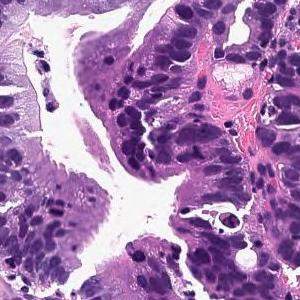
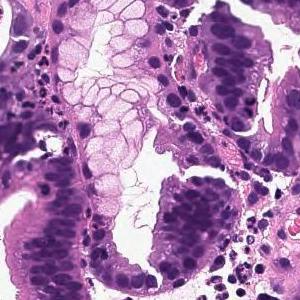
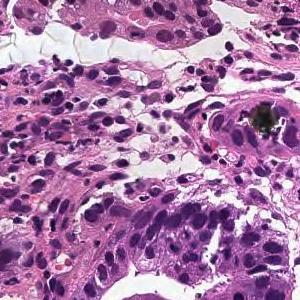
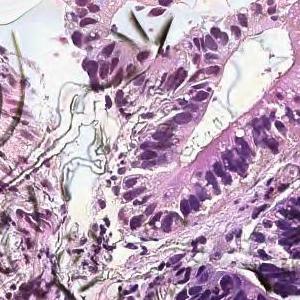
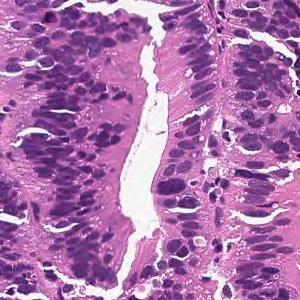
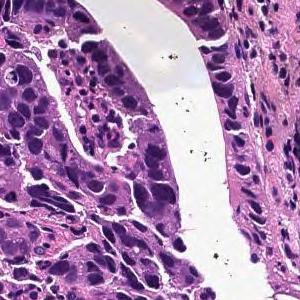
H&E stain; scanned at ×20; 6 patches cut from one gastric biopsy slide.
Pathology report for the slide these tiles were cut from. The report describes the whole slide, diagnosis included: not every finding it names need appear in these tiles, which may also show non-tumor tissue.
On the superficial epithelium, tumor tissue consisting of large irregular glandular ducts partially fused and infiltrated is observed. Well to moderately differentiated tubular adenocarcinoma (well differentiated tubular adenocarcinoma, moderately differentiated tubular adenocarcinoma)
Histologic type: Well to moderately differentiated tubular adenocarcinoma.
